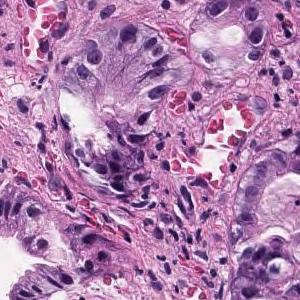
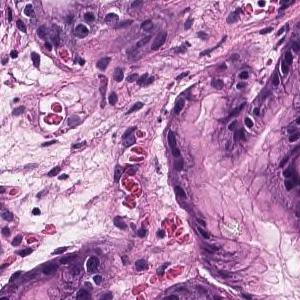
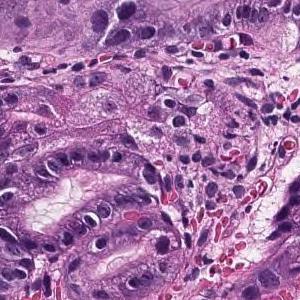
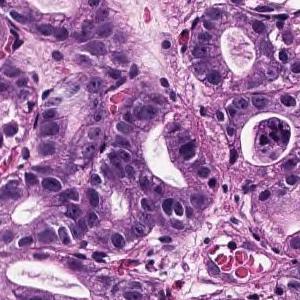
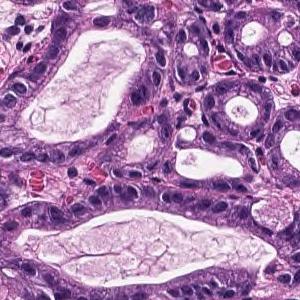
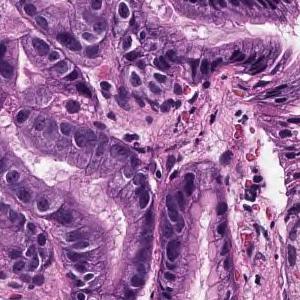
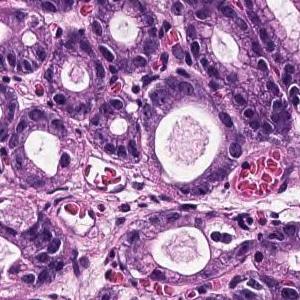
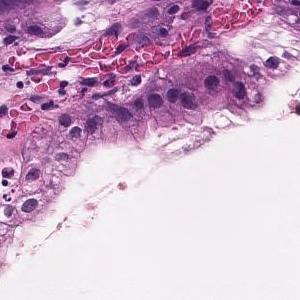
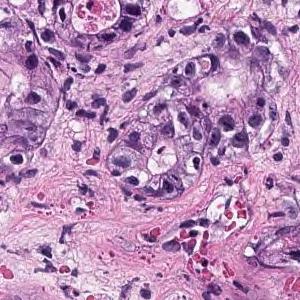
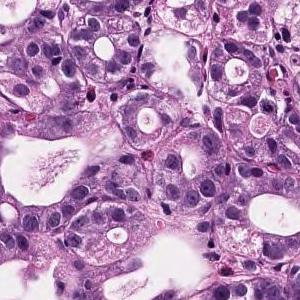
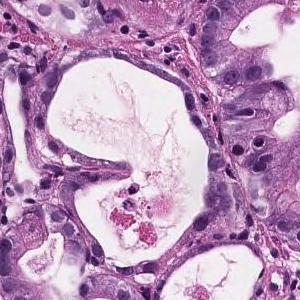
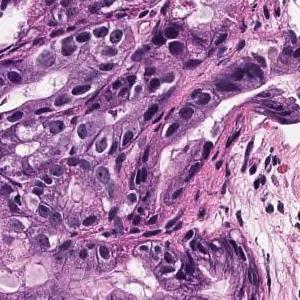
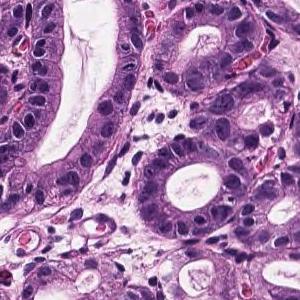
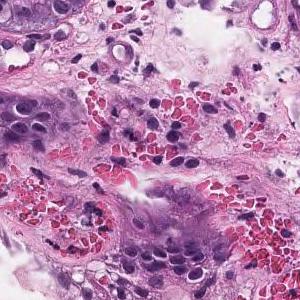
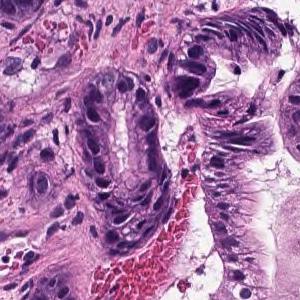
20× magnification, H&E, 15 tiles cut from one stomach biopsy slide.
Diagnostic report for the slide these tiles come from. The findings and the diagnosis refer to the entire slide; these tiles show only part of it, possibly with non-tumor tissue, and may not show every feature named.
On the superficial epithelium, tumor tissue that infiltrates by forming medium-sized round or small irregular ducts is observed. Papillary adenocarcinoma
